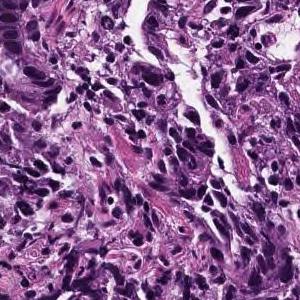
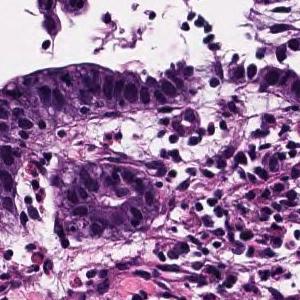
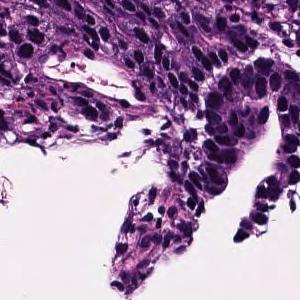
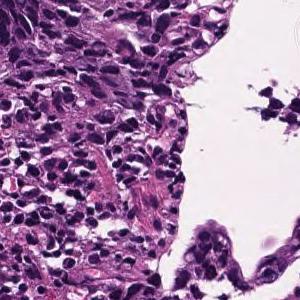
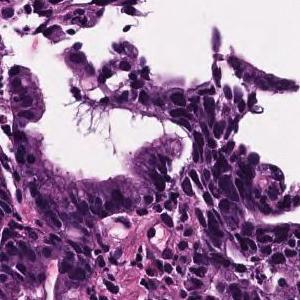
H&E stain, ×20, 5 image tiles from a single gastric biopsy slide, each 300 × 300 pixels.
Diagnostic report for the slide these tiles come from. What the report and the diagnosis say applies to the whole slide; these tiles may miss some of the features named and may include tissue that is not tumor.
Atypical l cells with atypical nuclei forming diffuse or small irregular atypical ducts and growing. Moderately to poorly differentiated adenocarcinoma (poorly differentiated adenocarcinoma, solid type moderately differentiated tubular adenocarcinoma)
Classified as moderately to poorly differentiated adenocarcinoma.
"Solid type" is a category of the Japanese Classification of Gastric Carcinoma; in the WHO 2019 classification it is tubular adenocarcinoma, poorly differentiated.
